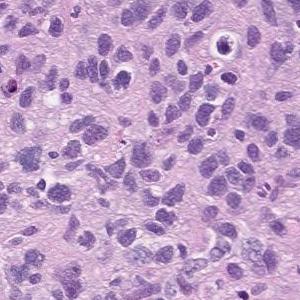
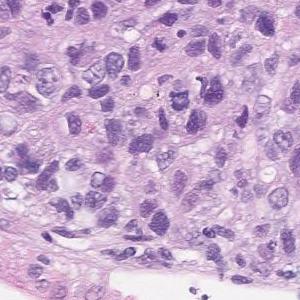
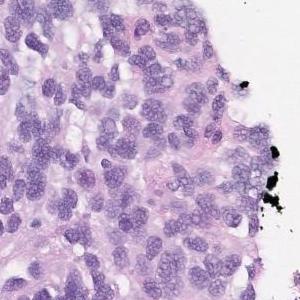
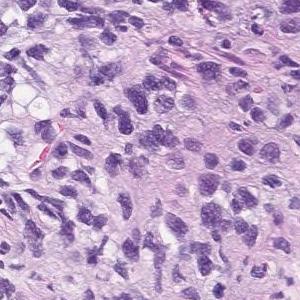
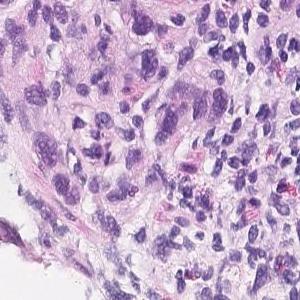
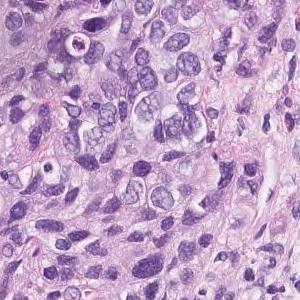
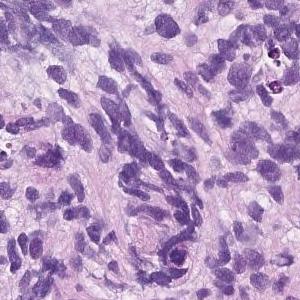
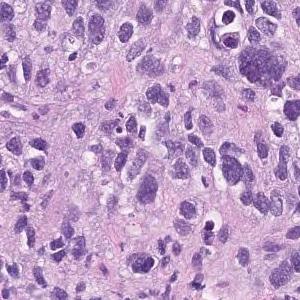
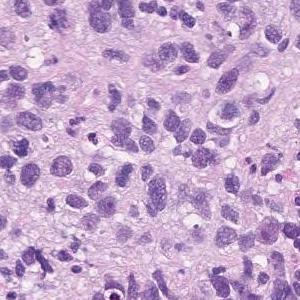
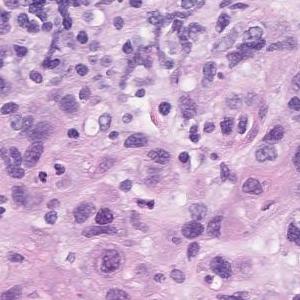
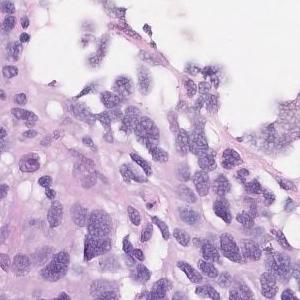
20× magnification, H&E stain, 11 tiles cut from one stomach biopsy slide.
The pathologist's report on the biopsy slide these tiles were taken from. What the report and the diagnosis say applies to the whole slide; these tiles may miss some of the features named and may include tissue that is not tumor.
Atypical l cells with atypical nuclei under the mucosa growing in isolation and scattered. Poorly differentiated adenocarcinoma (poorly differentiated adenocarcinoma, non-solid type)
Histologic type: Poorly differentiated adenocarcinoma, non-solid type.
The non-solid type named here is a Japanese Classification of Gastric Carcinoma category.
